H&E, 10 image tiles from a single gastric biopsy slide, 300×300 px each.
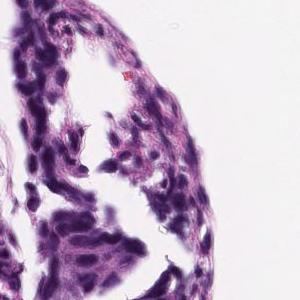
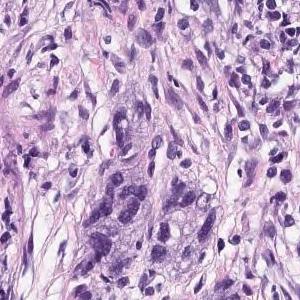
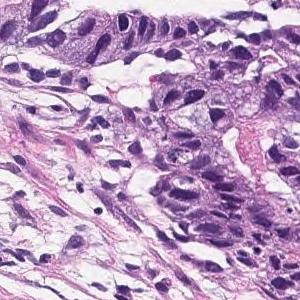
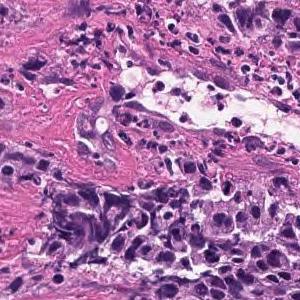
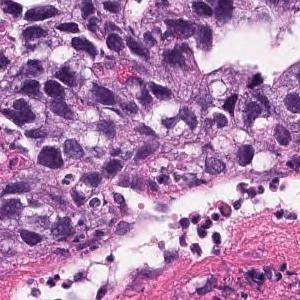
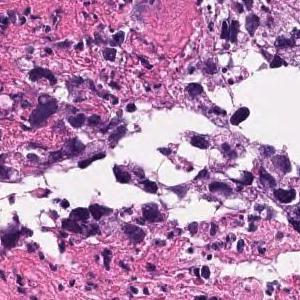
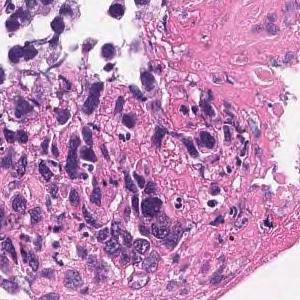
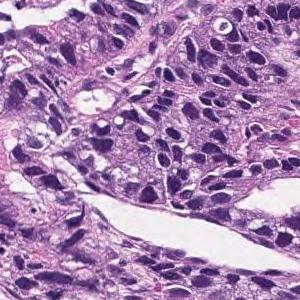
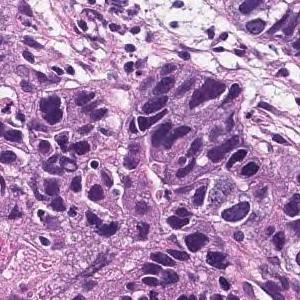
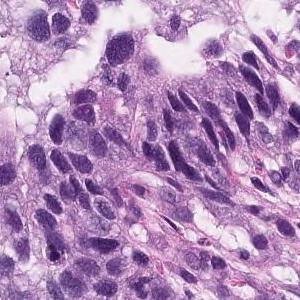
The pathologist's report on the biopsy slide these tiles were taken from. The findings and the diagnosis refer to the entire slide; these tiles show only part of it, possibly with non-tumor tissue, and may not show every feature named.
Medium to small, irregular glandular ducts are formed in the superficial epithelium, and in some cases, the glandular ducts are fused to show solid alveolar lesions and infiltrating tumor tissue is observed. Moderately to poorly differentiated adenocarcinoma.
